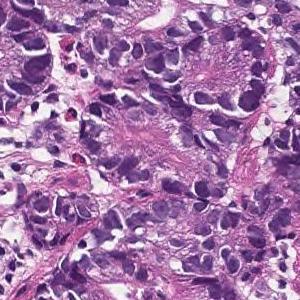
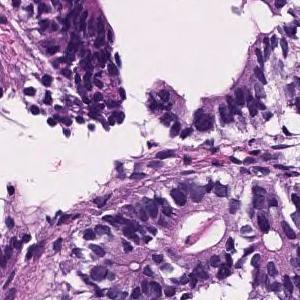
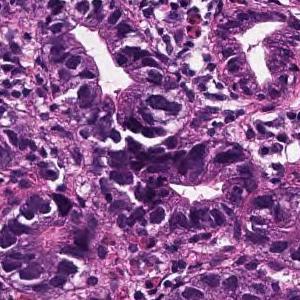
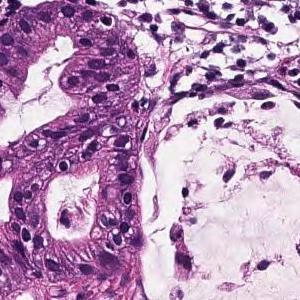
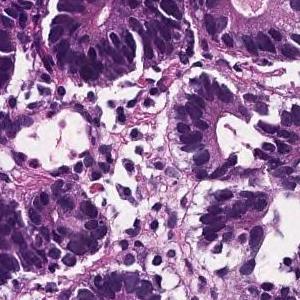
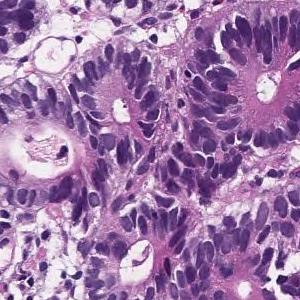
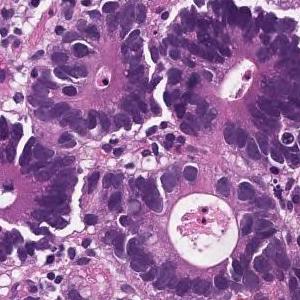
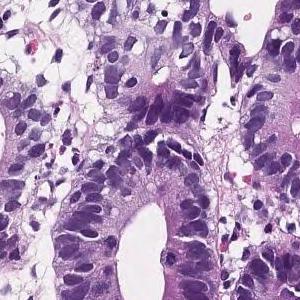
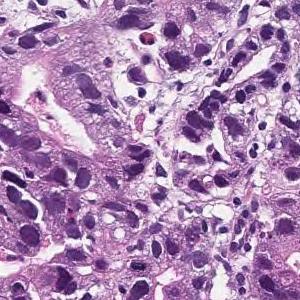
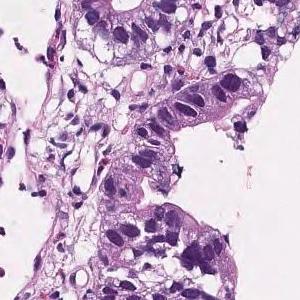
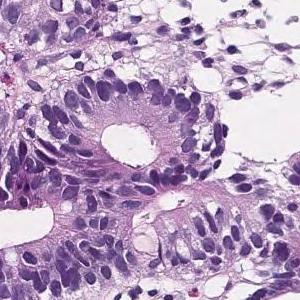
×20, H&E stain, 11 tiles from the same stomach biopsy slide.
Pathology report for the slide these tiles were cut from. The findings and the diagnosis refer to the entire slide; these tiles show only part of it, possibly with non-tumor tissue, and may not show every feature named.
On the superficial epithelium, tumor tissue consisting of large, irregular glandular ducts partially fused and infiltrated is observed. Well to moderately differentiated tubular adenocarcinoma (well differentiated tubular adenocarcinoma, moderately differentiated tubular adenocarcinoma)
Subtype: Well to moderately differentiated tubular adenocarcinoma.
